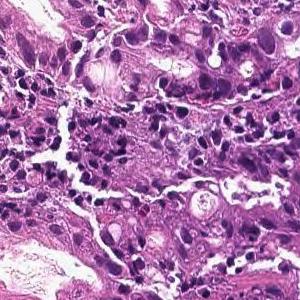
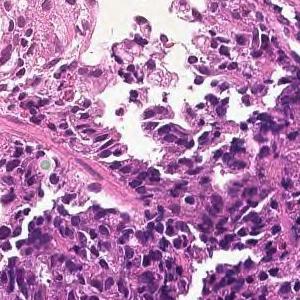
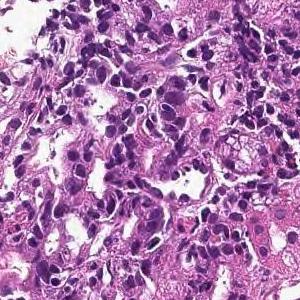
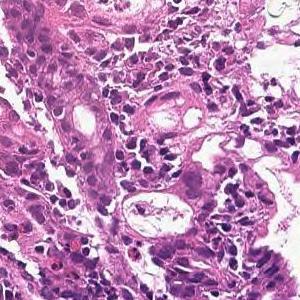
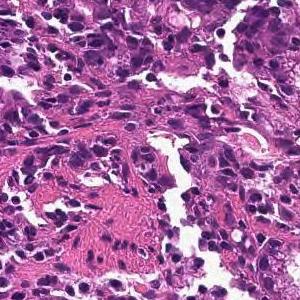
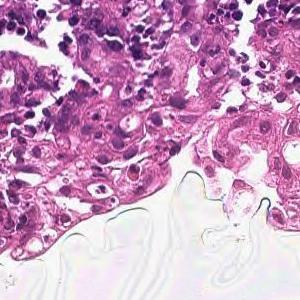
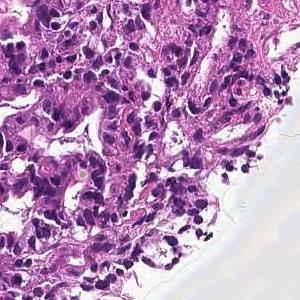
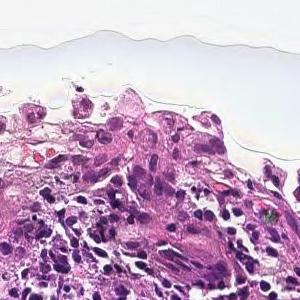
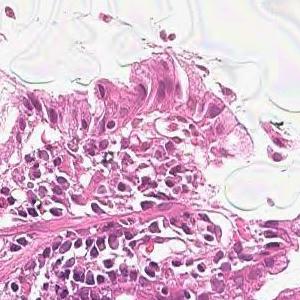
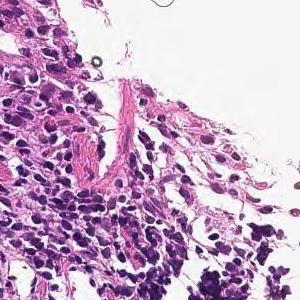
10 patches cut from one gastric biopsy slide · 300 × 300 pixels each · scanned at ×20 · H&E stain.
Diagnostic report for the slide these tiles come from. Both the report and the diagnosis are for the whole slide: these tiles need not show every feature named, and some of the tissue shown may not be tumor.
In the superficial epithelium, tumor tissue that invades by forming medium-sized to small, irregular ducts is observed. moderately differentiated tubular adenocarcinoma.
